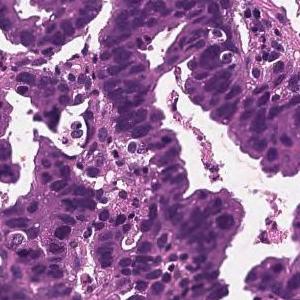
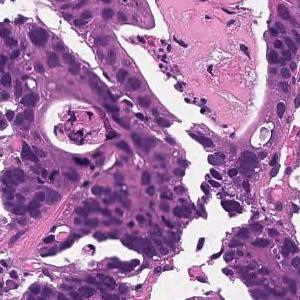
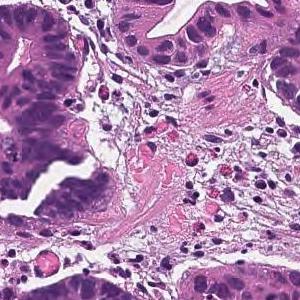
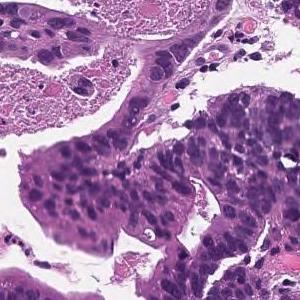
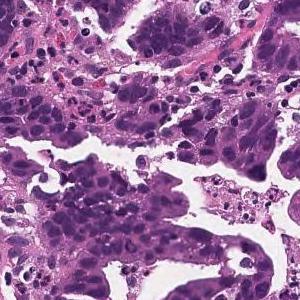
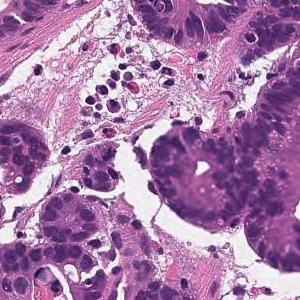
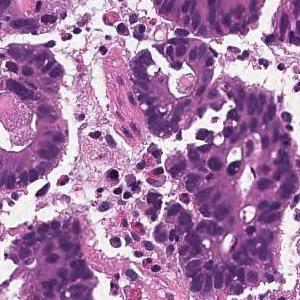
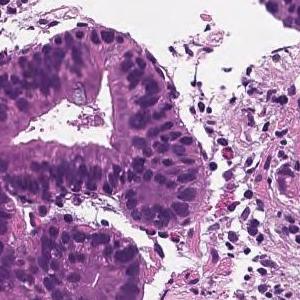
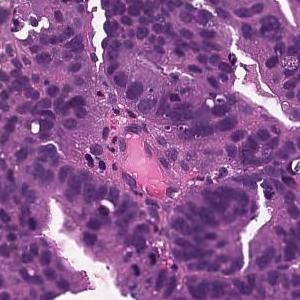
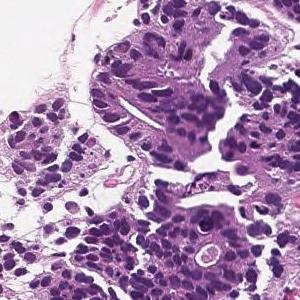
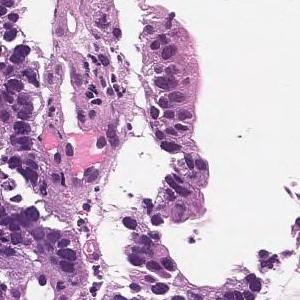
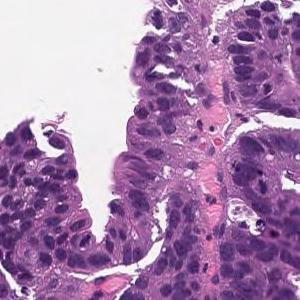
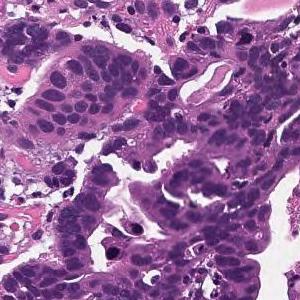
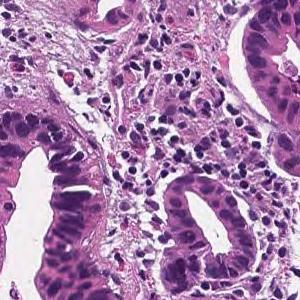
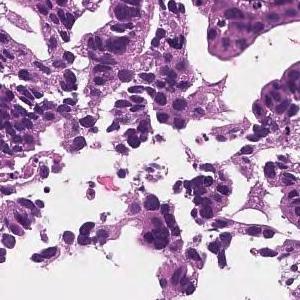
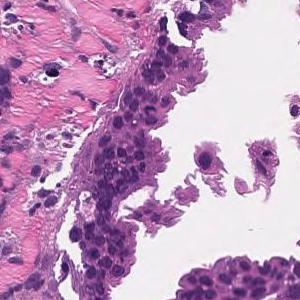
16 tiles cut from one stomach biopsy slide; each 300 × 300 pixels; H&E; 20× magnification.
The pathologist's report on the biopsy slide these tiles were taken from. The report and the diagnosis describe the slide as a whole, so these tiles may not show every feature named and may include non-tumor tissue.
In the superficial epithelium, tumor tissue that invades by forming medium-sized to small, irregular ducts is observed. moderately differentiated tubular adenocarcinoma.
